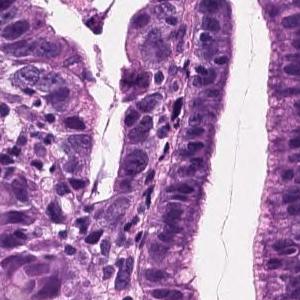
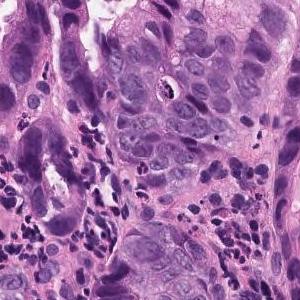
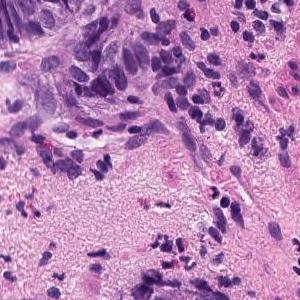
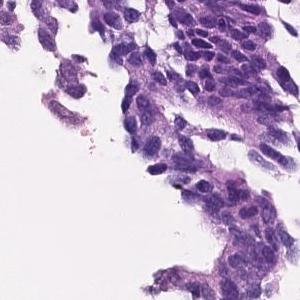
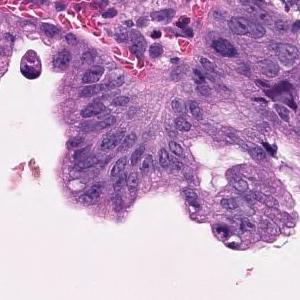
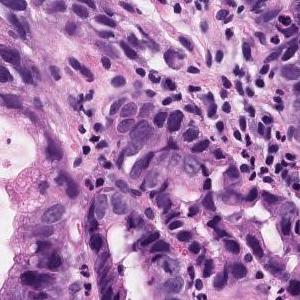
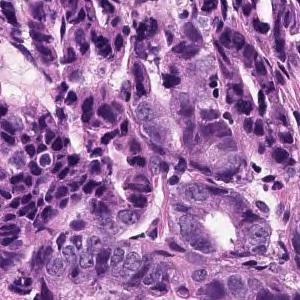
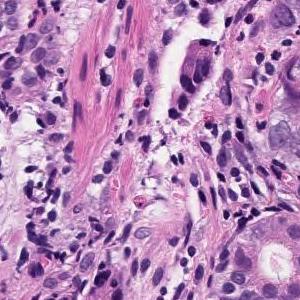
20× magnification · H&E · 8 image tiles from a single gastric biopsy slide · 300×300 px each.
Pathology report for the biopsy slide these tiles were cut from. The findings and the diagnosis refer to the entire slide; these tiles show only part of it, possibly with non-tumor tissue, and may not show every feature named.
The swollen atypical epithelium of the nucleus forms an irregular ductal structure and proliferates. moderately differentiated tubular adenocarcinoma
